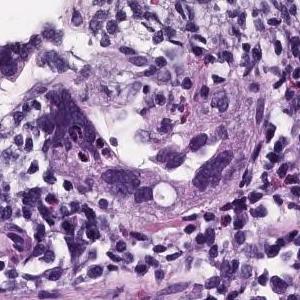
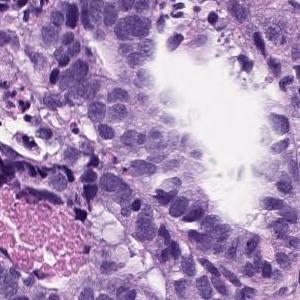
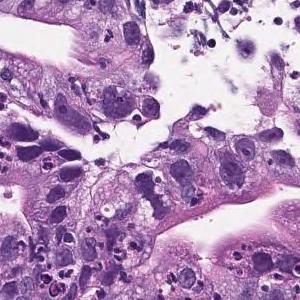
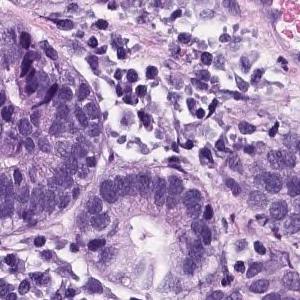
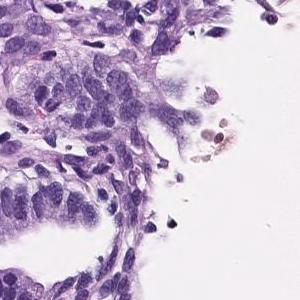
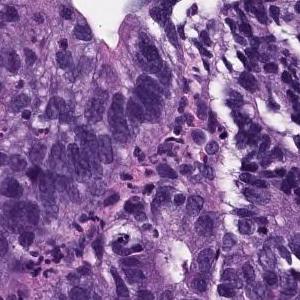
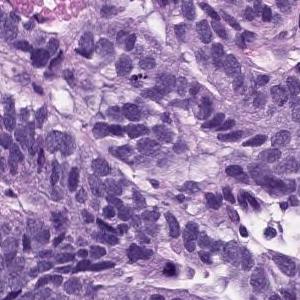
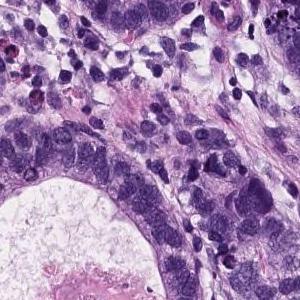
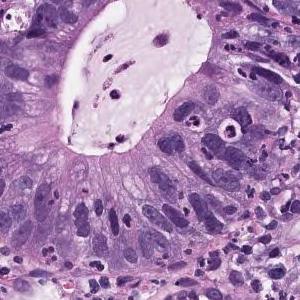
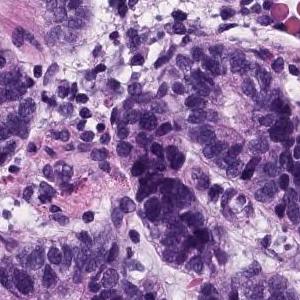
20× magnification, 10 tiles from the same stomach biopsy slide, 300×300 px each.
Diagnostic report for the slide these tiles come from. What the report and the diagnosis say applies to the whole slide; these tiles may miss some of the features named and may include tissue that is not tumor.
On the superficial epithelium, tumor tissue consisting of large, irregular glandular ducts partially fused and infiltrated is observed. Well to moderately differentiated tubular adenocarcinoma (well differentiated tubular adenocarcinoma, moderately differentiated tubular adenocarcinoma)
Dataset label: well differentiated tubular adenocarcinoma.
